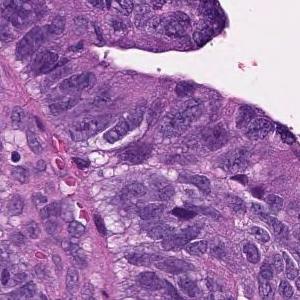
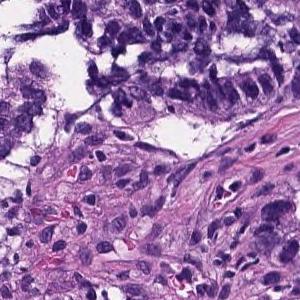
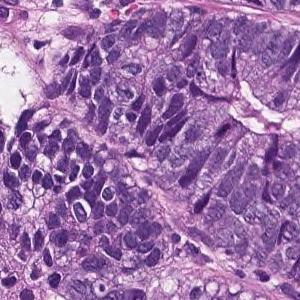
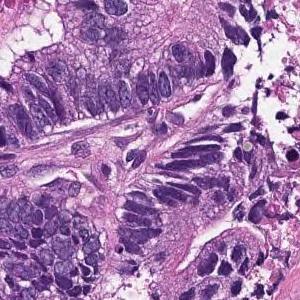
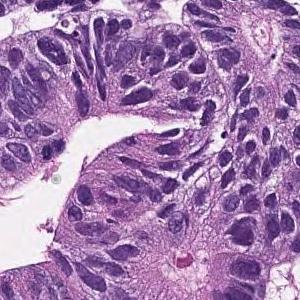
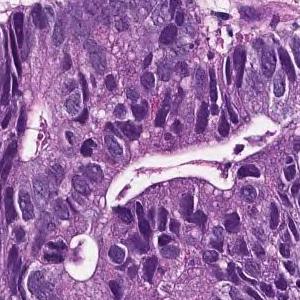
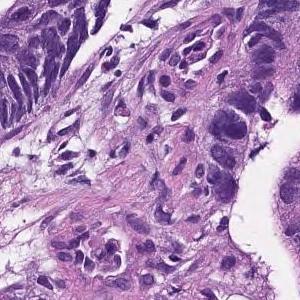
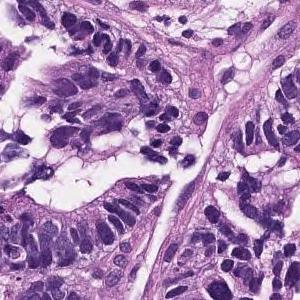
×20; H&E stain; 8 tiles from the same stomach biopsy slide.
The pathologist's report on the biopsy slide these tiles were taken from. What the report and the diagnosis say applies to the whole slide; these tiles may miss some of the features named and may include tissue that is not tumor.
In the superficial epithelium, tumor tissue that invades by forming medium-sized to small, irregular ducts is observed. moderately differentiated tubular adenocarcinoma.
